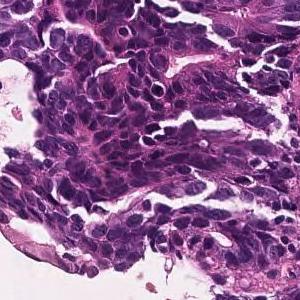
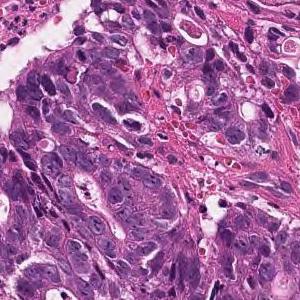
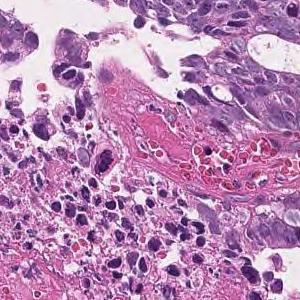
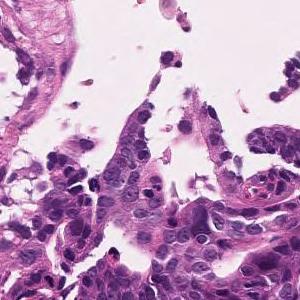
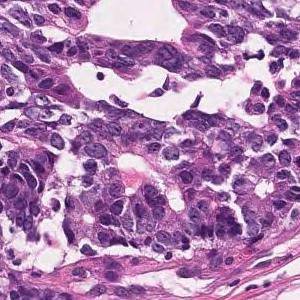
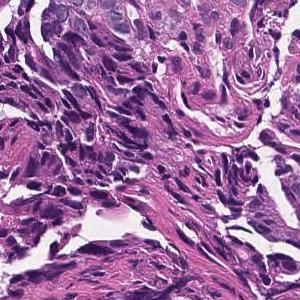
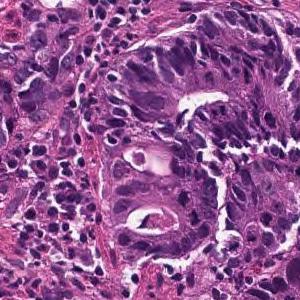
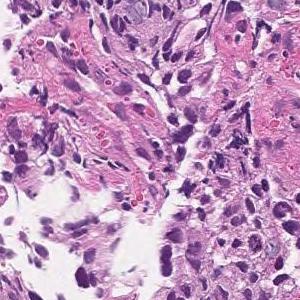
8 tiles from the same stomach biopsy slide; scanned at ×20; H&E.
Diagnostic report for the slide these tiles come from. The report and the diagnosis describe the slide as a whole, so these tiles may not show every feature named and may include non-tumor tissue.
In the superficial epithelium, tumor tissue that invades by forming medium-sized to small, irregular ducts is observed. moderately differentiated tubular adenocarcinoma.
